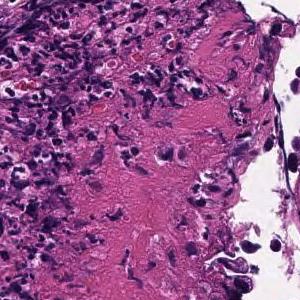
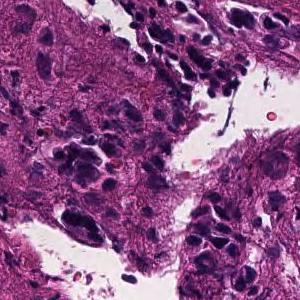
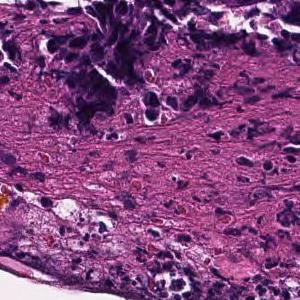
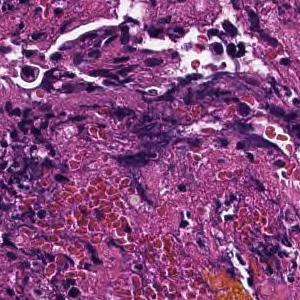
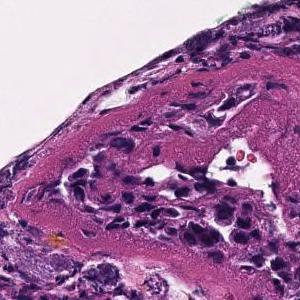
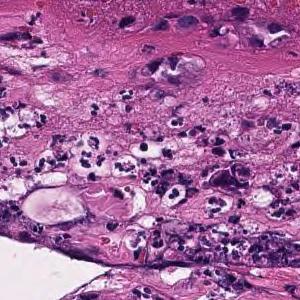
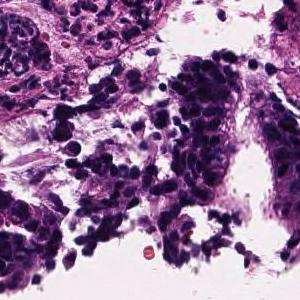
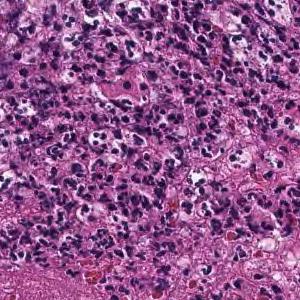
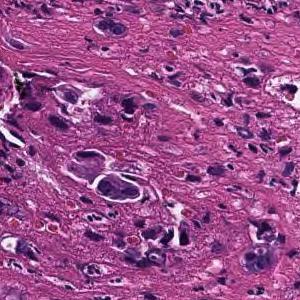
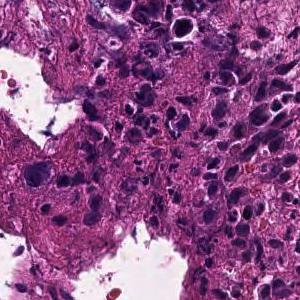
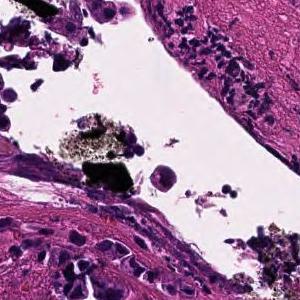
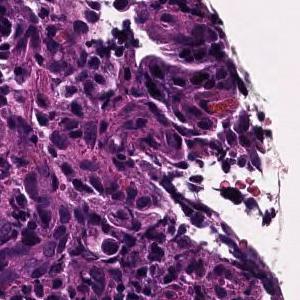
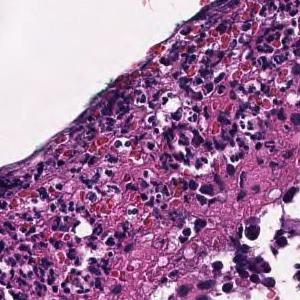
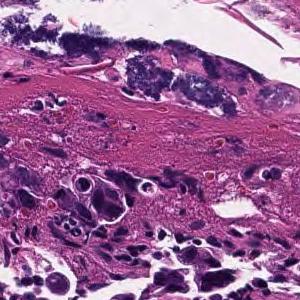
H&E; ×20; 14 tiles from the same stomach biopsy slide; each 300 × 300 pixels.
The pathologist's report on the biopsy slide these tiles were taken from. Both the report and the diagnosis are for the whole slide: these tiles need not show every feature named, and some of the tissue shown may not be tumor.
Tumor tissue consisting of cord-like or small, irregular glandular ducts fused and infiltrated is observed in the superficial epithelium. Poorly differentiated adenocarcinoma, non-solid type
The non-solid type named here is a Japanese Classification of Gastric Carcinoma category.
